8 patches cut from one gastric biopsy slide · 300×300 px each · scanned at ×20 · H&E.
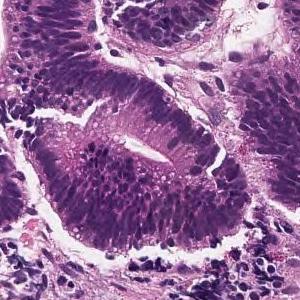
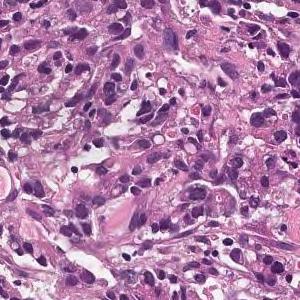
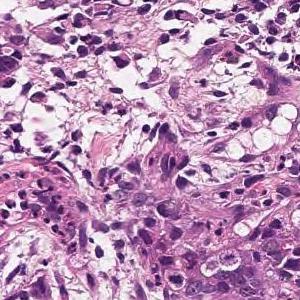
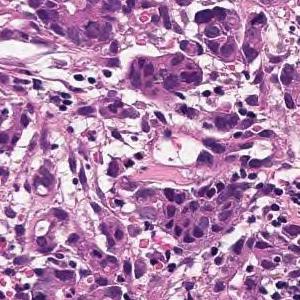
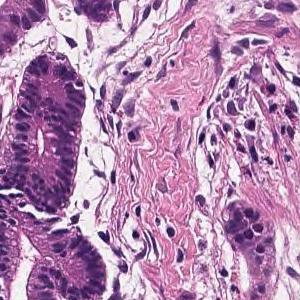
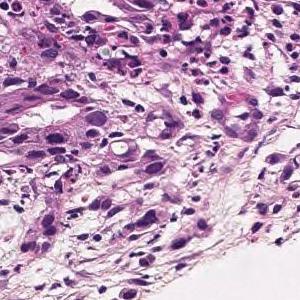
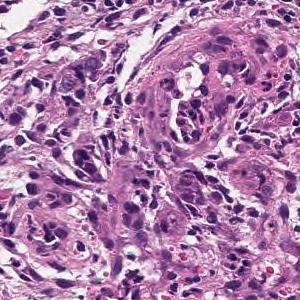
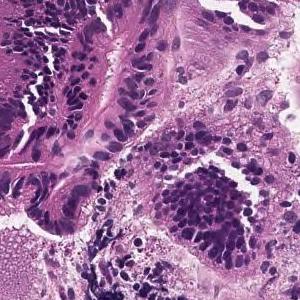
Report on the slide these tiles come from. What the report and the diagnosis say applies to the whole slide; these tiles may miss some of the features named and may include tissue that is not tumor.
Tumor tissue consisting of cord-like or small, irregular glandular ducts fused and infiltrated is observed in the superficial epithelium. Poorly differentiated adenocarcinoma, non-solid type
"Non-solid type" is a category of the Japanese Classification of Gastric Carcinoma.
